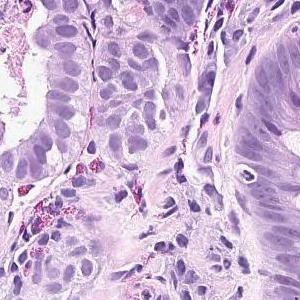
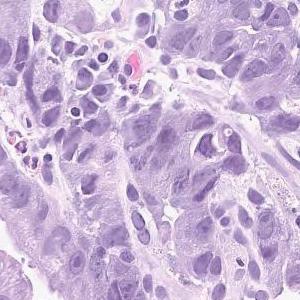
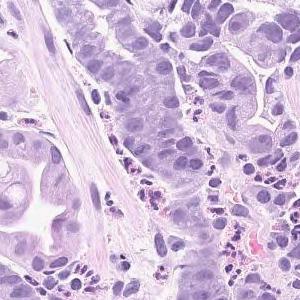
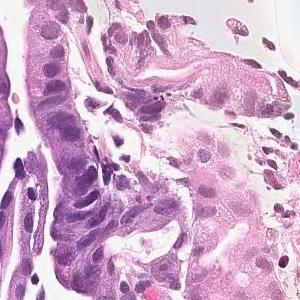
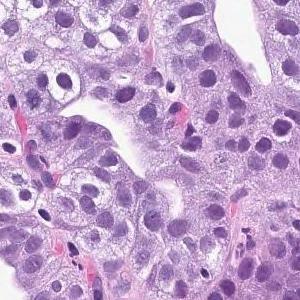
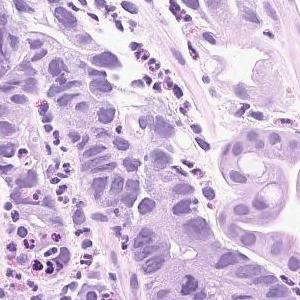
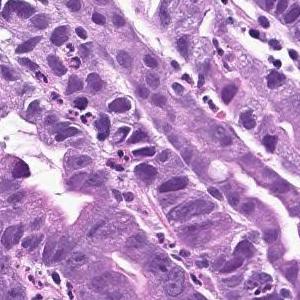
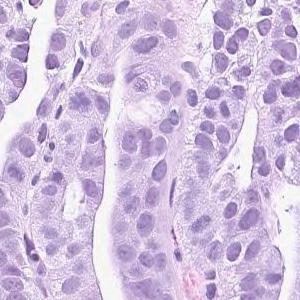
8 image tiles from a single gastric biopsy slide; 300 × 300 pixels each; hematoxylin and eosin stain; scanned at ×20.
Report on the slide these tiles come from. What the report and the diagnosis say applies to the whole slide; these tiles may miss some of the features named and may include tissue that is not tumor.
Infiltrating tumor tissue is observed in the superficial epithelium, showing large papillary structures or large and small ducts. Papillary adenocarcinoma
